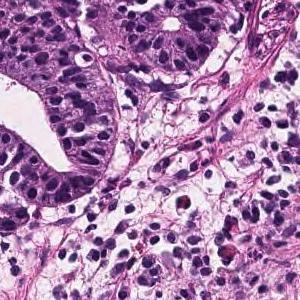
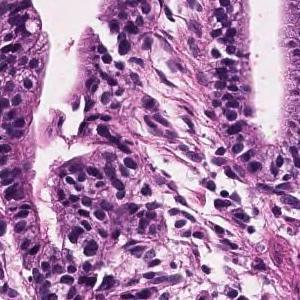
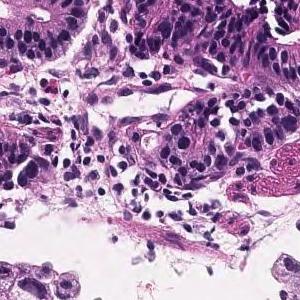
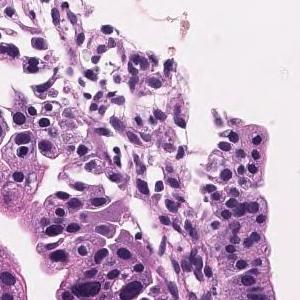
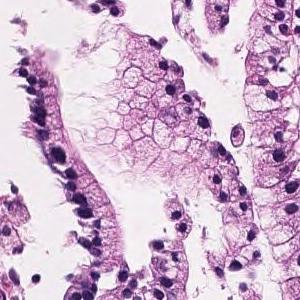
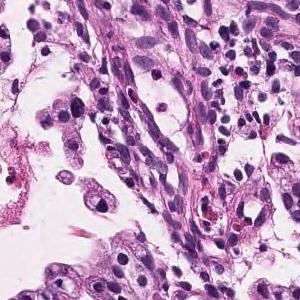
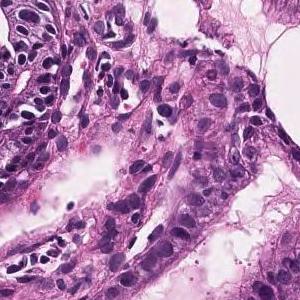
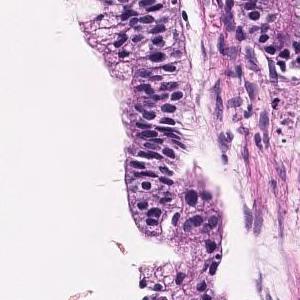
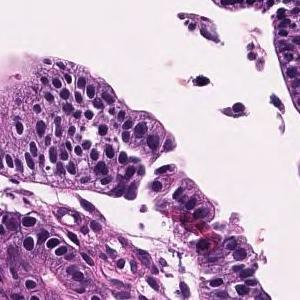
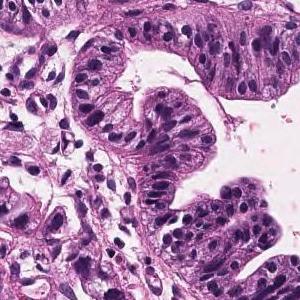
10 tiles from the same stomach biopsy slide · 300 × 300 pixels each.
Report on the slide these tiles come from. The report and the diagnosis describe the slide as a whole, so these tiles may not show every feature named and may include non-tumor tissue.
Tumor tissue consisting of large papillary structures or irregular glandular ducts partially fused and infiltrated is observed in the superficial epithelium. Well to moderately differentiated tubular adenocarcinoma.
Dataset label: moderately differentiated tubular adenocarcinoma.
